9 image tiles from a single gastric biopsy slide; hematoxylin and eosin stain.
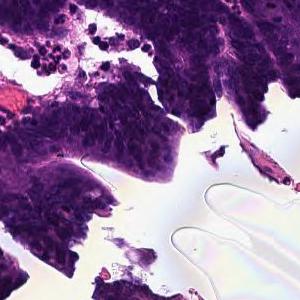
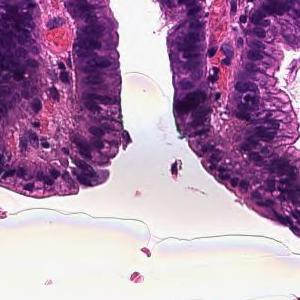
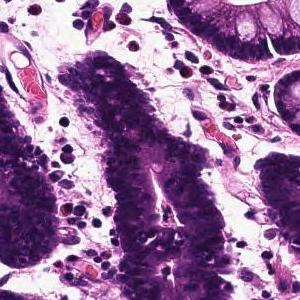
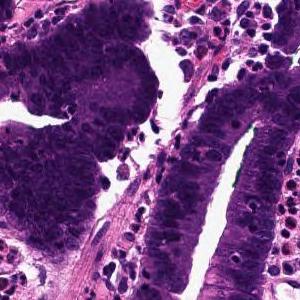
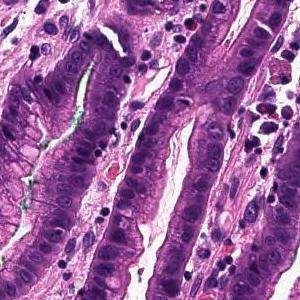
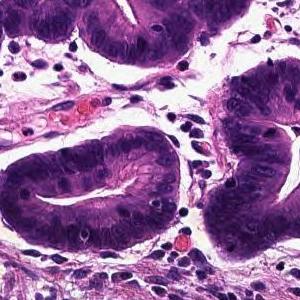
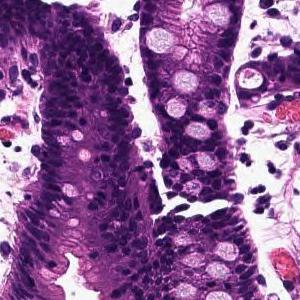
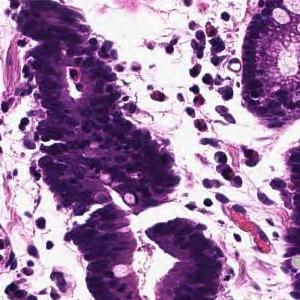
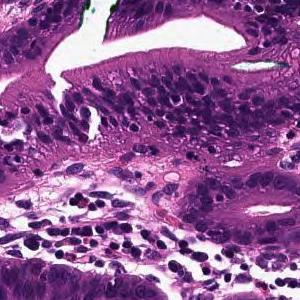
Pathology report for the biopsy slide these tiles were cut from. Both the report and the diagnosis are for the whole slide: these tiles need not show every feature named, and some of the tissue shown may not be tumor.
Tumor tissue that infiltrates by forming large papillary or large irregular glandular ducts is observed confined to the mucosa. Papillary adenocarcinoma
